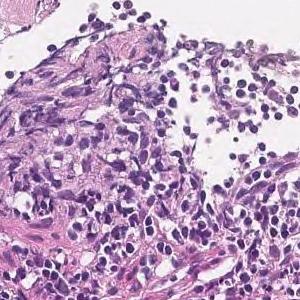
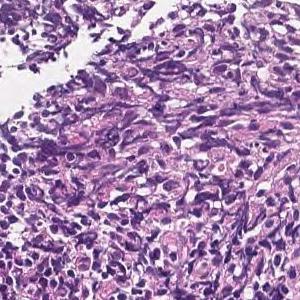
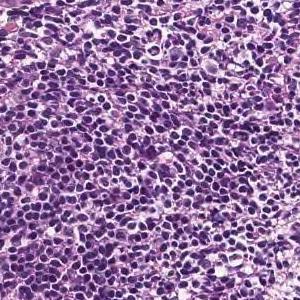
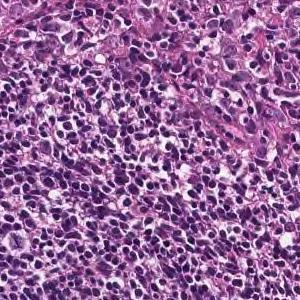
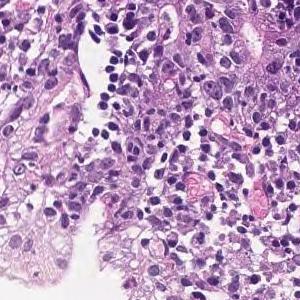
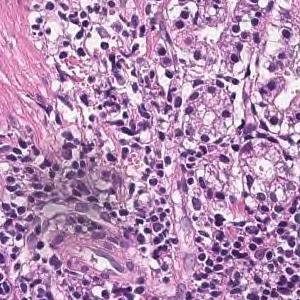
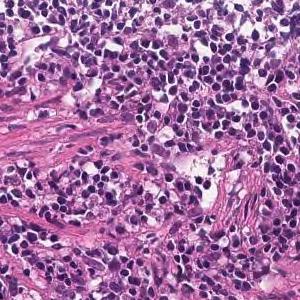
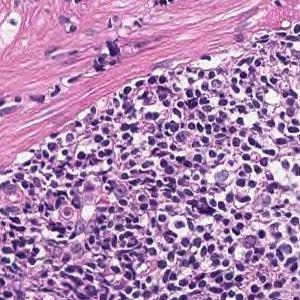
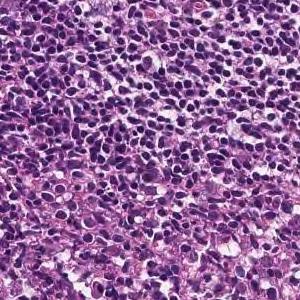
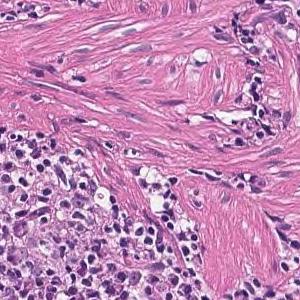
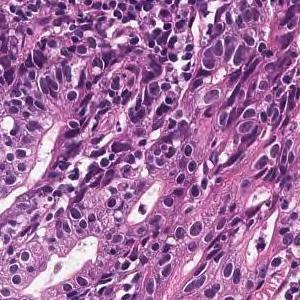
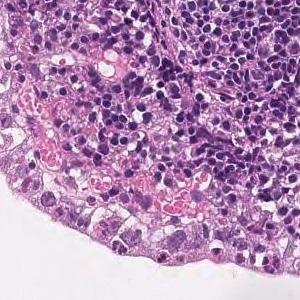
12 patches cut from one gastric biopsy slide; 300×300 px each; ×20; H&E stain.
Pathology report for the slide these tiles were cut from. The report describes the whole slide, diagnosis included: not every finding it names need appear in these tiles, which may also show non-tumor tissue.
Tumor tissue consisting of cord-like or small, irregular glandular ducts fused and infiltrated is observed in the superficial epithelium. Poorly differentiated adenocarcinoma, non-solid type
The non-solid type named here is a Japanese Classification of Gastric Carcinoma category.
